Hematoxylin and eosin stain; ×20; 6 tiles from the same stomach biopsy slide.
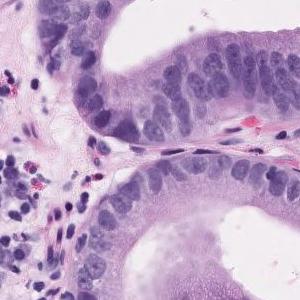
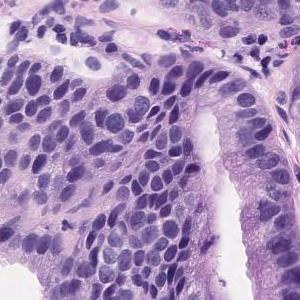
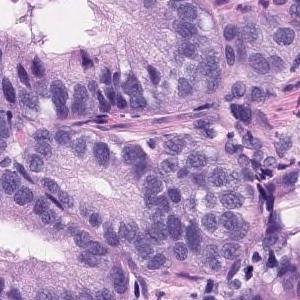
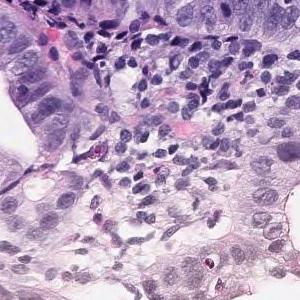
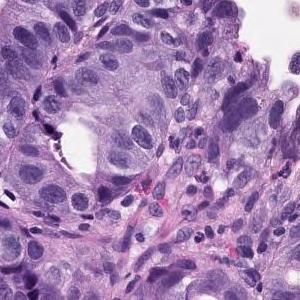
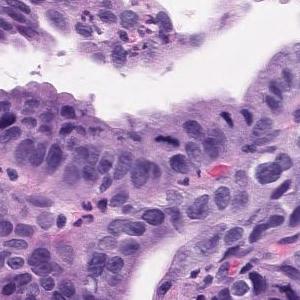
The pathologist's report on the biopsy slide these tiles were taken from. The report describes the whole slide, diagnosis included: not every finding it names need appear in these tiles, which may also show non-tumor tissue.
Tumor tissue consisting of medium-sized and irregular ducts is observed infiltrating in the superficial epithelium. Tumor cells are highly columnar, with nuclei aligned basolaterally and polarized. Well differentiated tubular adenocarcinoma.
